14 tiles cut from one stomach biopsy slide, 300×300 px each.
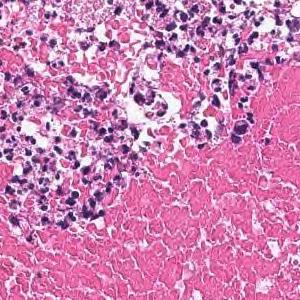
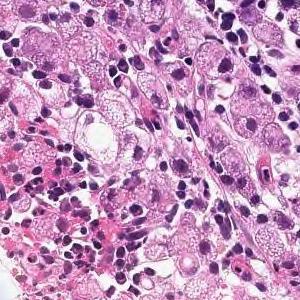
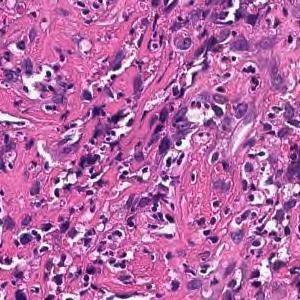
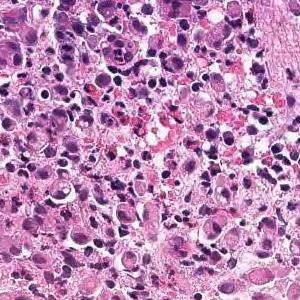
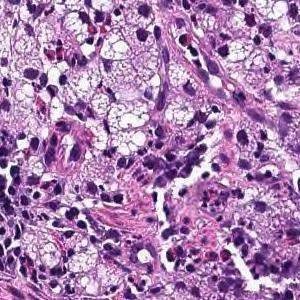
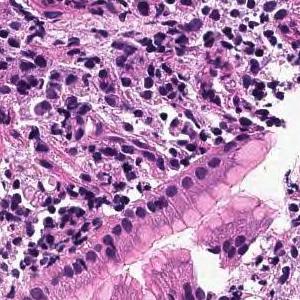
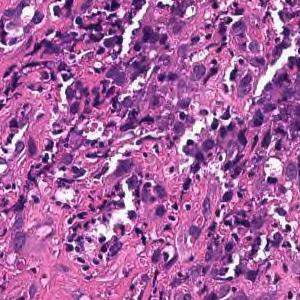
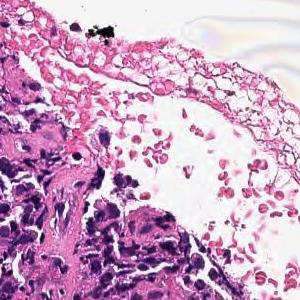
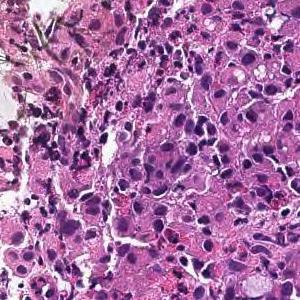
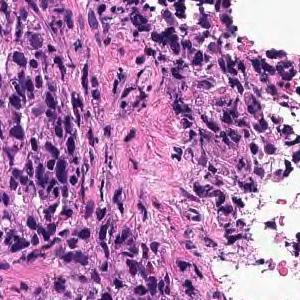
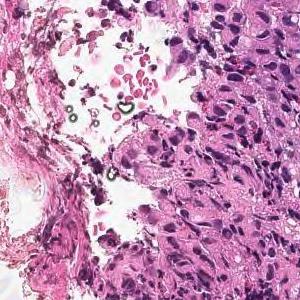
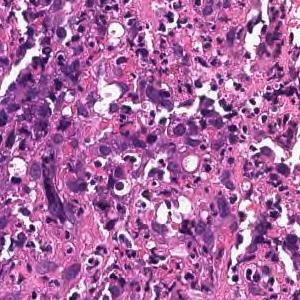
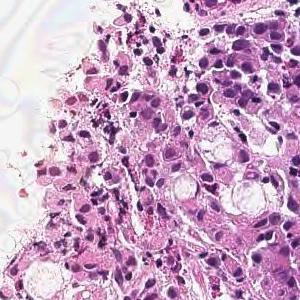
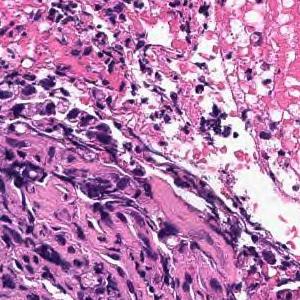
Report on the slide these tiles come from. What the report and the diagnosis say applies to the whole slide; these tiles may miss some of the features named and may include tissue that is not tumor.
Tumor tissue consisting of diffusely infiltrated large atypical epithelial cells or signet ring atypical cells is observed in the superficial epithelium. Poorly differentiated adenocarcinoma, solid-type
Histological subtype: Poorly differentiated adenocarcinoma, solid type (Japanese Classification of Gastric Carcinoma). The WHO 2019 equivalent is tubular adenocarcinoma, poorly differentiated.
